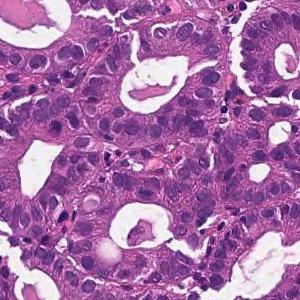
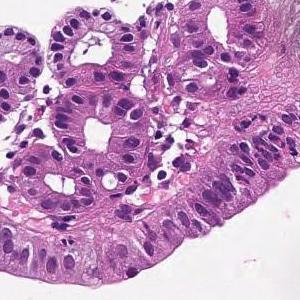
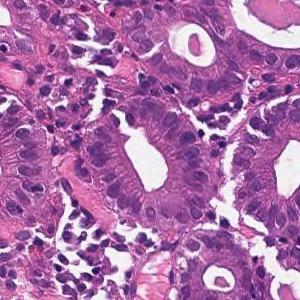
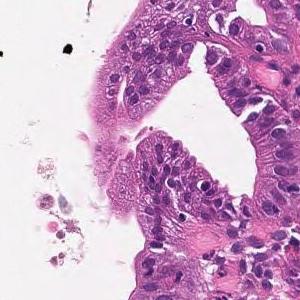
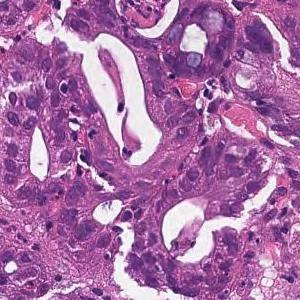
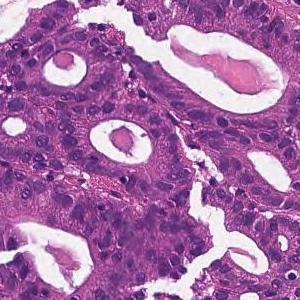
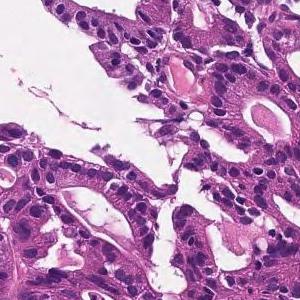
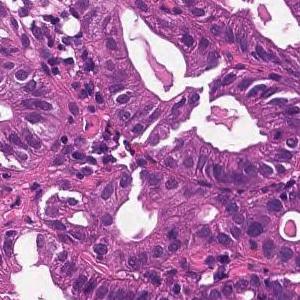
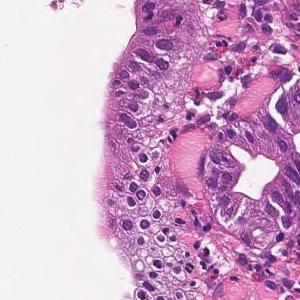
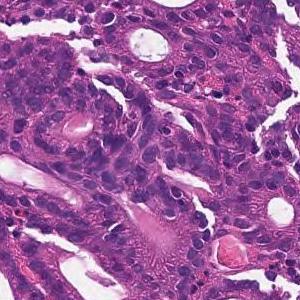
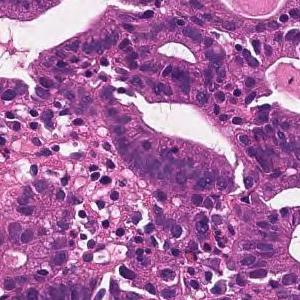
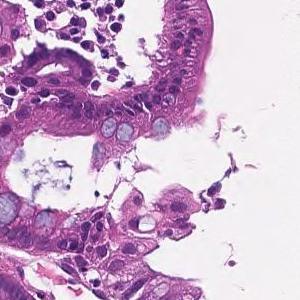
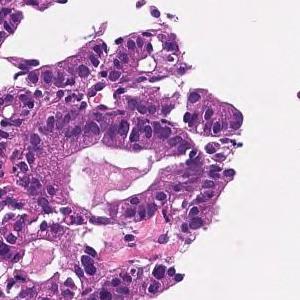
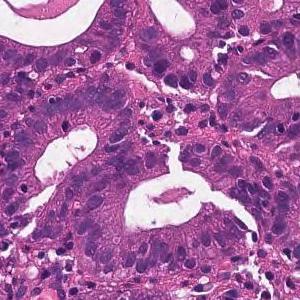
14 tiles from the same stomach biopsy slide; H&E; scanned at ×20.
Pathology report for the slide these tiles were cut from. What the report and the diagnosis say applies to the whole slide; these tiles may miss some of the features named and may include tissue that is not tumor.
On the superficial epithelium, tumor tissue consisting of medium-sized irregular glandular ducts partially fused and infiltrated is observed. Well to moderately differentiated tubular adenocarcinoma (well differentiated tubular adenocarcinoma-moderately differentiated tubular adenocarcinoma)
Histologic type: Well to moderately differentiated tubular adenocarcinoma.
